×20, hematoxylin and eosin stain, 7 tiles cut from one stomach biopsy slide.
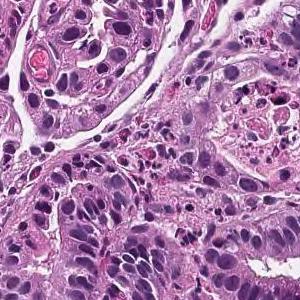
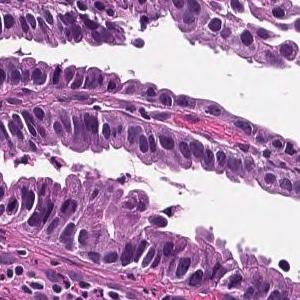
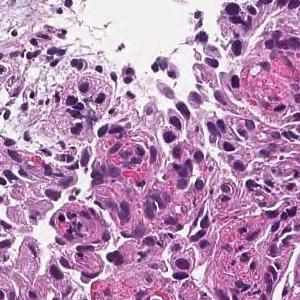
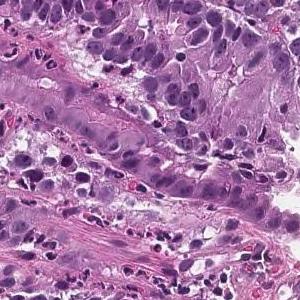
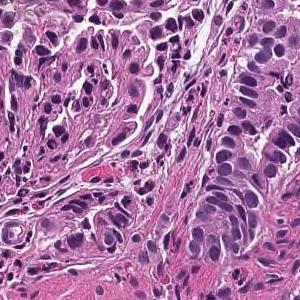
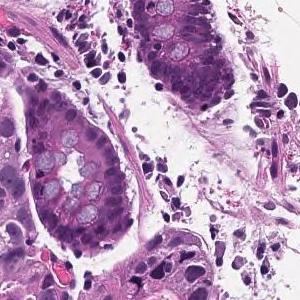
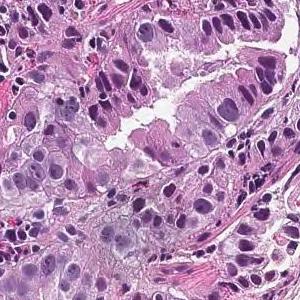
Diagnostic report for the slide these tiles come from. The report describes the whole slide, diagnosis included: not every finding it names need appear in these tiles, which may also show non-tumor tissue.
From the superficial epithelium to the muscularis mucosae, tumor tissue consisting of medium-sized and irregular glandular ducts infiltrating is observed. Well differentiated tubular adenocarcinoma
